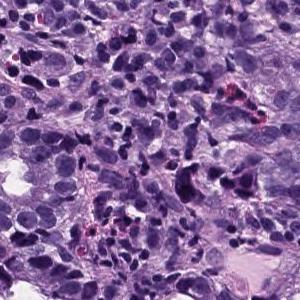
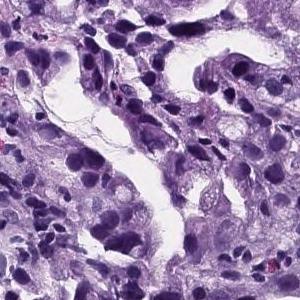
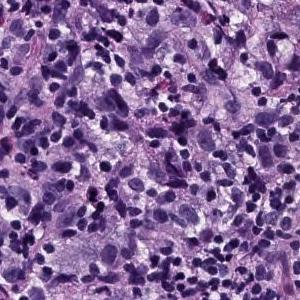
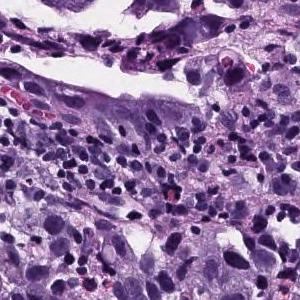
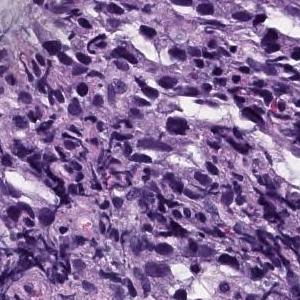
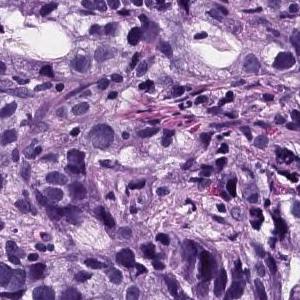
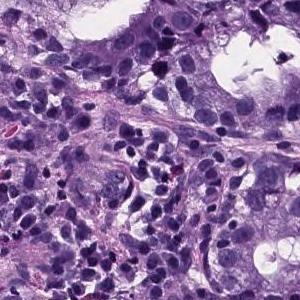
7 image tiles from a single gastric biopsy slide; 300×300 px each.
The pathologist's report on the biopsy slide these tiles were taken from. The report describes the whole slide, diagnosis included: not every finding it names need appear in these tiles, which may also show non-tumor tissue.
Atypical epithelial cells infiltrating and proliferating while forming solid or cord-like fused glandular cavities of different sizes is observed. moderately differentiated tubular adenocarcinoma, poorly differentiated adenocarcinoma.
Histologic type: Moderately to poorly differentiated adenocarcinoma.
